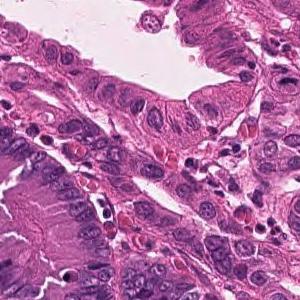
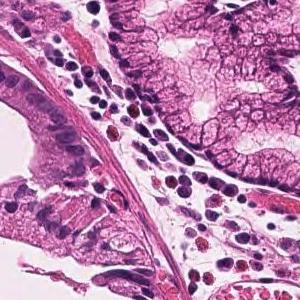
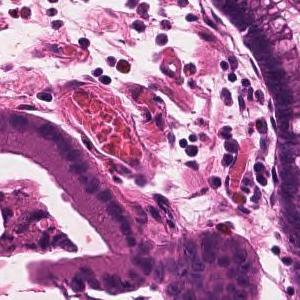
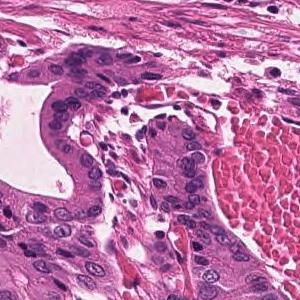
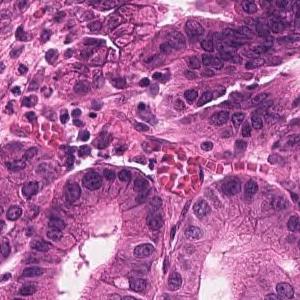
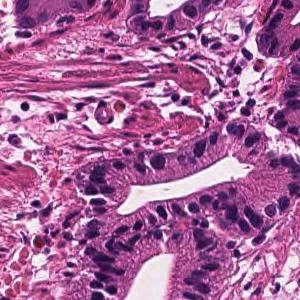
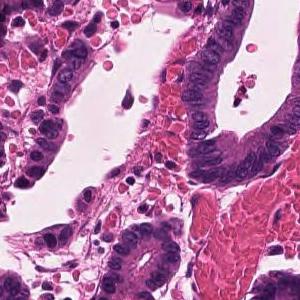
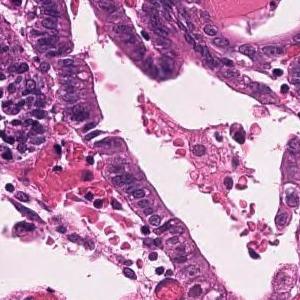
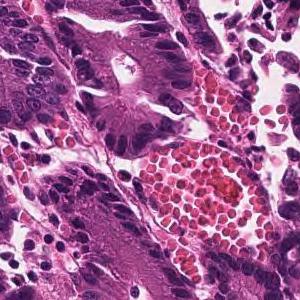
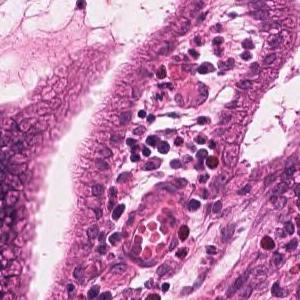
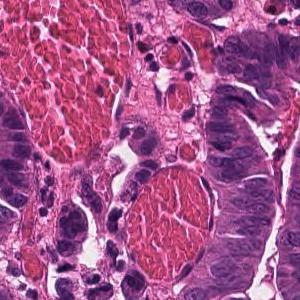
11 patches cut from one gastric biopsy slide, hematoxylin and eosin stain, ×20.
Diagnostic report for the slide these tiles come from. Both the report and the diagnosis are for the whole slide: these tiles need not show every feature named, and some of the tissue shown may not be tumor.
Infiltrating tumor tissue with medium-sized, irregular ductal structure or large papillary appearance is observed. Well differentiated tubular adenocarcinoma
